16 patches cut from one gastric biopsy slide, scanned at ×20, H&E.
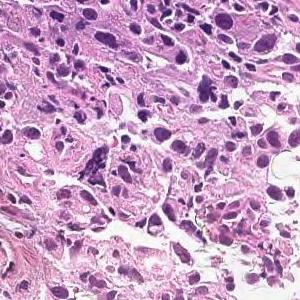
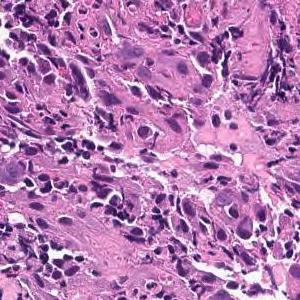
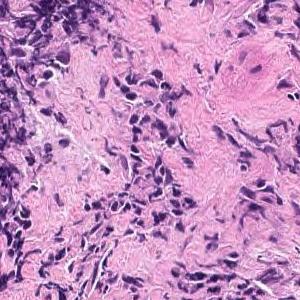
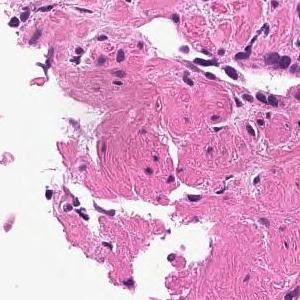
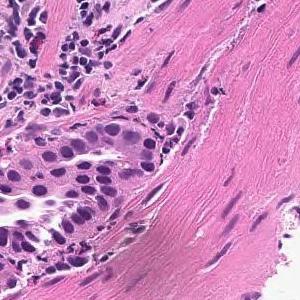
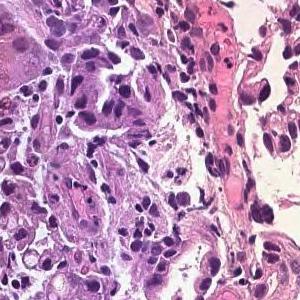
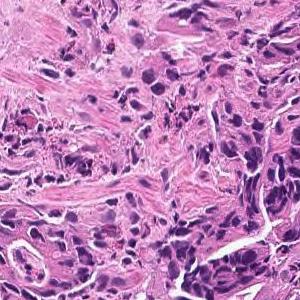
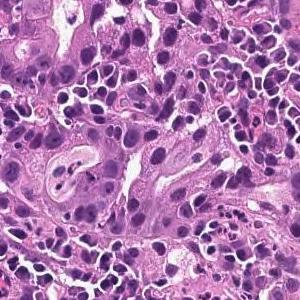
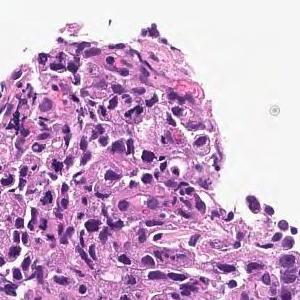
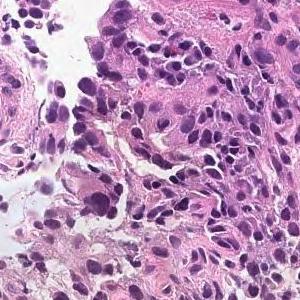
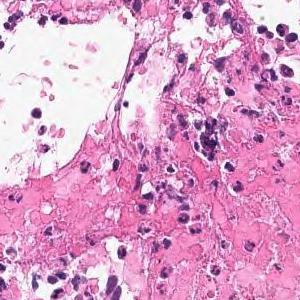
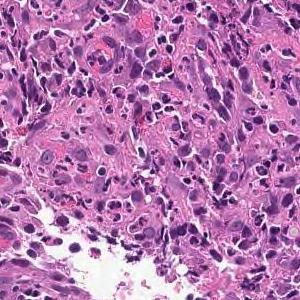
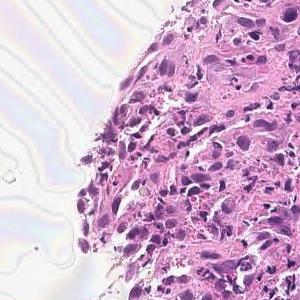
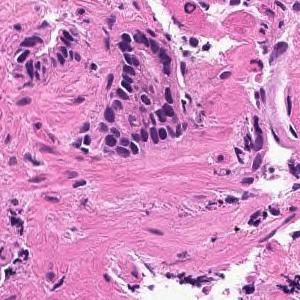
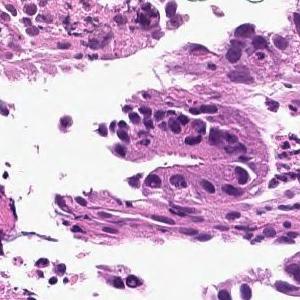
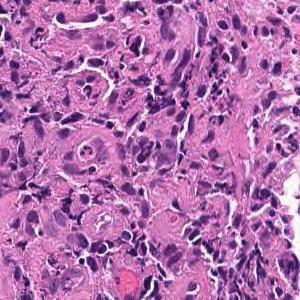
Diagnostic report for the slide these tiles come from. The report describes the whole slide, diagnosis included: not every finding it names need appear in these tiles, which may also show non-tumor tissue.
On the superficial epithelium, tumor tissue consisting of large irregular glandular ducts partially fused and infiltrated is observed. Well to moderately differentiated tubular adenocarcinoma (well differentiated tubular adenocarcinoma, moderately differentiated tubular adenocarcinoma)
Histologic type: Well to moderately differentiated tubular adenocarcinoma.
